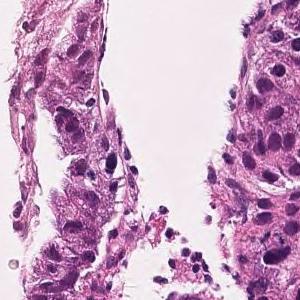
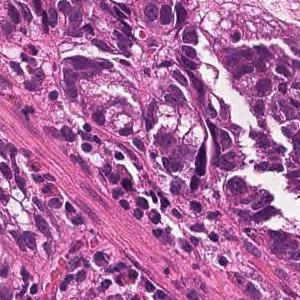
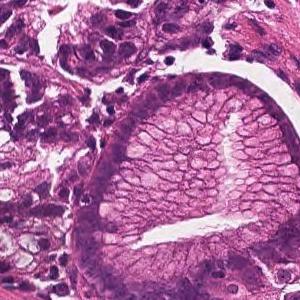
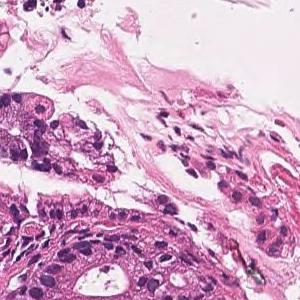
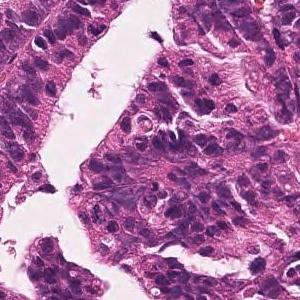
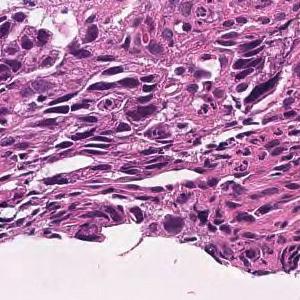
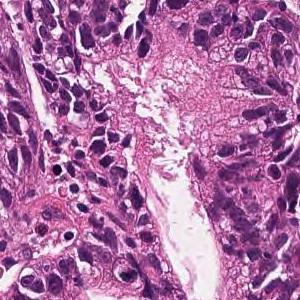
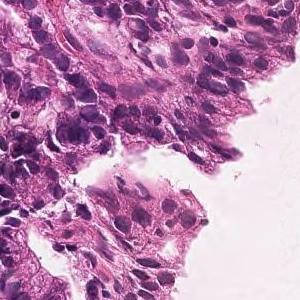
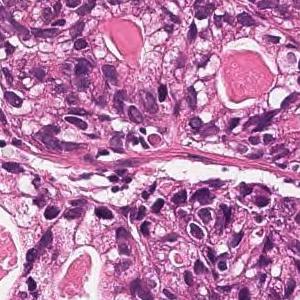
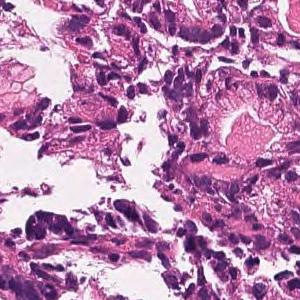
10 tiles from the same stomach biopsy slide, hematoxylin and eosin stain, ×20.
The pathologist's report on the biopsy slide these tiles were taken from. What the report and the diagnosis say applies to the whole slide; these tiles may miss some of the features named and may include tissue that is not tumor.
On the superficial epithelium, tumor tissue consisting of large, irregular glandular ducts partially fused and infiltrated is observed. Well to moderately differentiated tubular adenocarcinoma (well differentiated tubular adenocarcinoma, moderately differentiated tubular adenocarcinoma)
Tumor subtype: well to moderately differentiated tubular adenocarcinoma.
